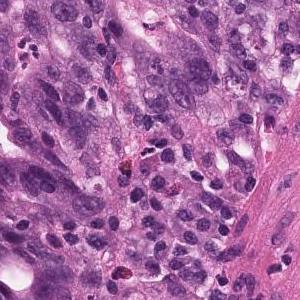
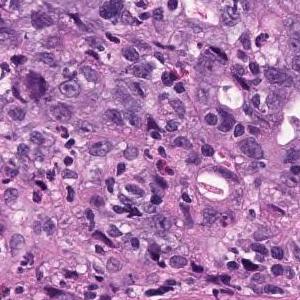
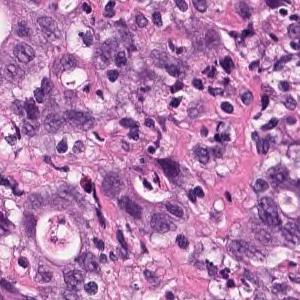
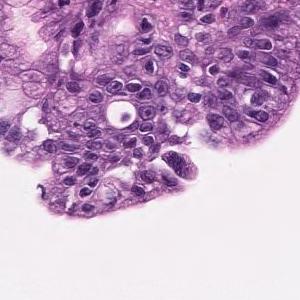
4 tiles cut from one stomach biopsy slide · each 300 × 300 pixels · H&E stain.
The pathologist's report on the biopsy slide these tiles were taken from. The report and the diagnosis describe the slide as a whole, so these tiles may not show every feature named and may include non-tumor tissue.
Atypical ducts proliferating with obscure duct construction and solid sequences is observed. Moderately to poorly differentiated adenocarcinoma.
